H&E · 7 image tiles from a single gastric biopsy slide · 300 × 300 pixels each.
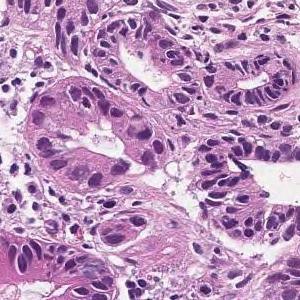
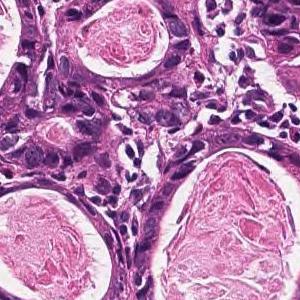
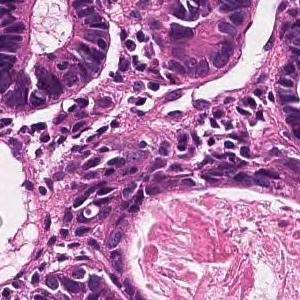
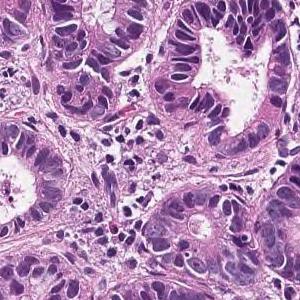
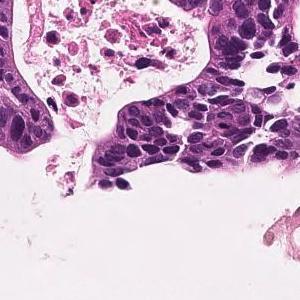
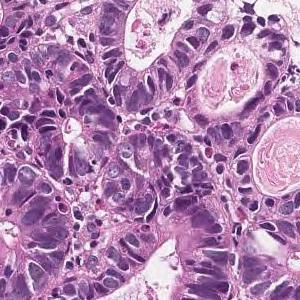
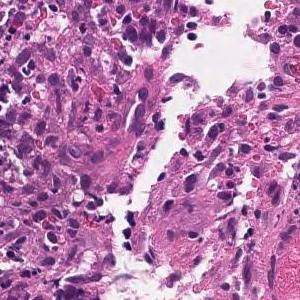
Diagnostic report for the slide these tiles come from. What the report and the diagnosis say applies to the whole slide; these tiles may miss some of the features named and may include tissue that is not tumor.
In the superficial epithelium, tumor tissue that invades by forming medium-sized to small, irregular ducts is observed. Well differentiated tubular adenocarcinoma.
